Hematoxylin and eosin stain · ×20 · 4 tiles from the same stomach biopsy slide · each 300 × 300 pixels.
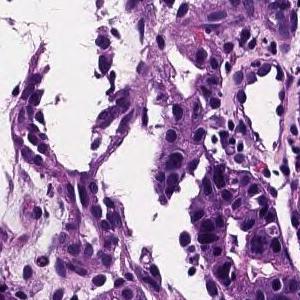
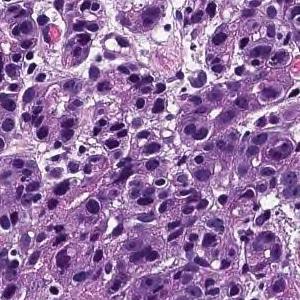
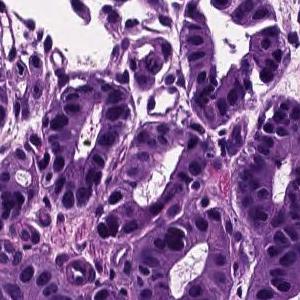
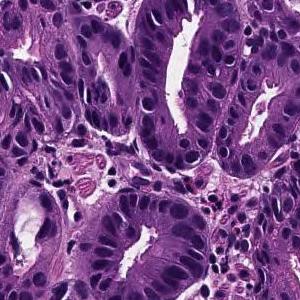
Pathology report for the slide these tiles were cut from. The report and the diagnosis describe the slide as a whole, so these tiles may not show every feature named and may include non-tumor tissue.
From the superficial epithelium to the muscularis mucosae, tumor tissue consisting of medium-sized and irregular glandular ducts infiltrating is observed. Well differentiated tubular adenocarcinoma
